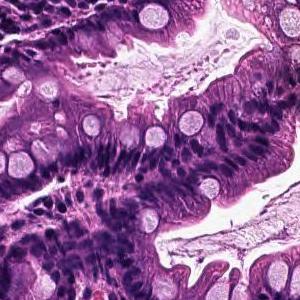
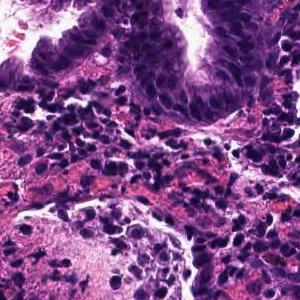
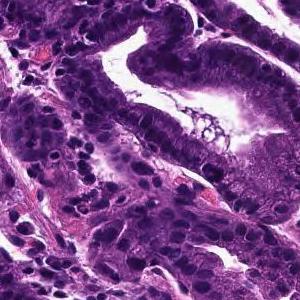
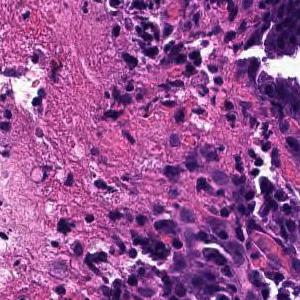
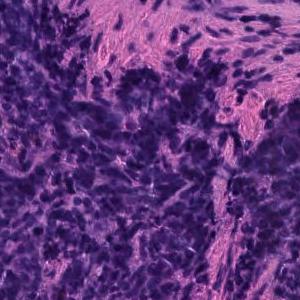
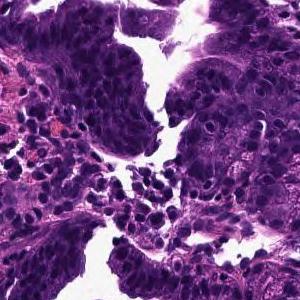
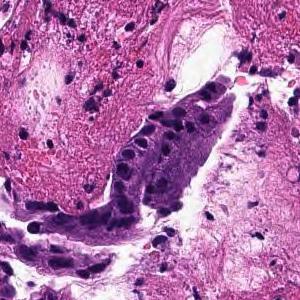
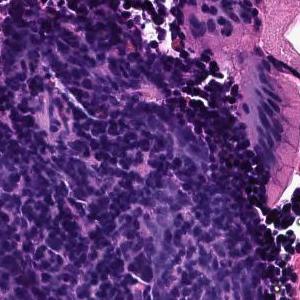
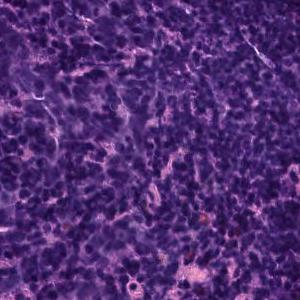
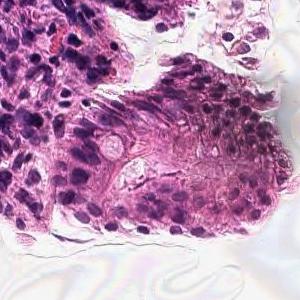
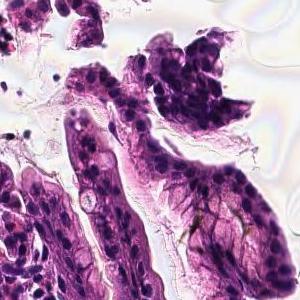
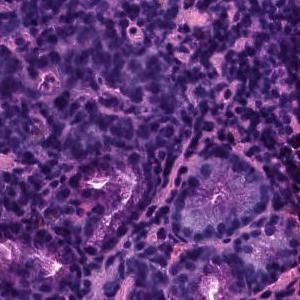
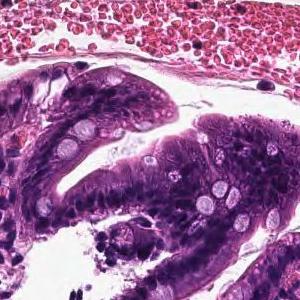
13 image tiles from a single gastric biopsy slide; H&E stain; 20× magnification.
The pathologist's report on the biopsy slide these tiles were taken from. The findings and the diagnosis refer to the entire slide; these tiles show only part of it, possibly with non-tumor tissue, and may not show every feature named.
The superficial epithelium shows a large sheet-like shape, and some tumor tissue infiltrates with small irregular ducts. Poorly differentiated adenocarcinoma, solid-type
Classified as poorly differentiated adenocarcinoma, solid type. This name comes from the Japanese Classification of Gastric Carcinoma; the WHO 2019 classification calls it tubular adenocarcinoma, poorly differentiated.
